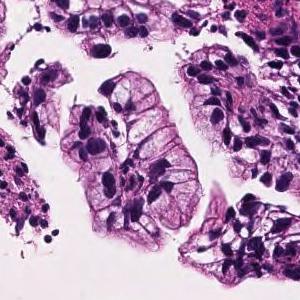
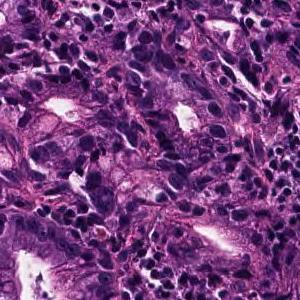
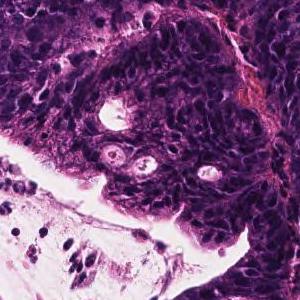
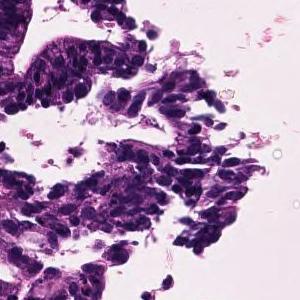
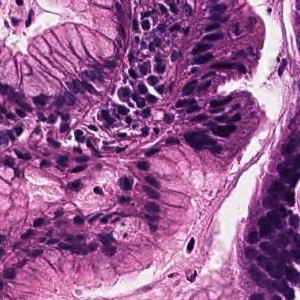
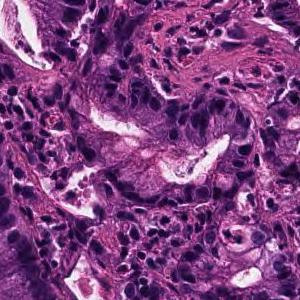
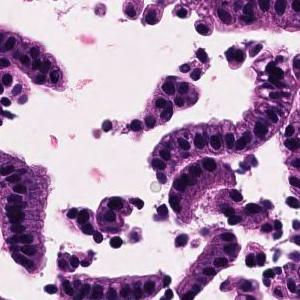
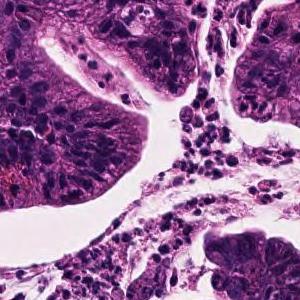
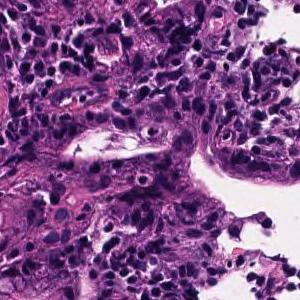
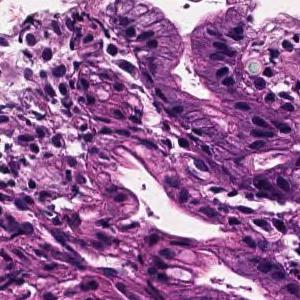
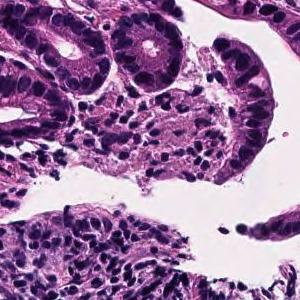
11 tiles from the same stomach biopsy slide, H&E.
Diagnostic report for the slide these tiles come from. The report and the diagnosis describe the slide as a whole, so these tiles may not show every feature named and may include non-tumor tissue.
Tumor cells are large, highly columnar, large club-shaped nuclei, and are associated with chromatin aggregation. Papillary adenocarcinoma.
